7 tiles from the same stomach biopsy slide, 300×300 px each, H&E.
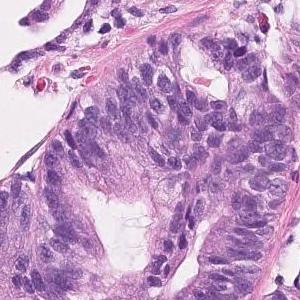
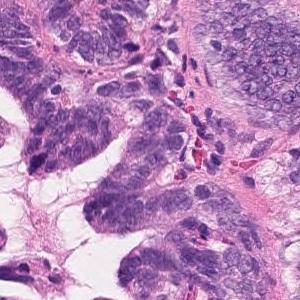
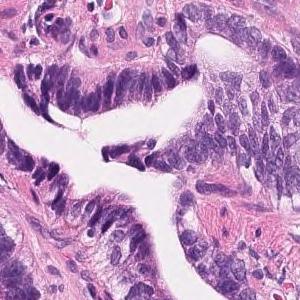
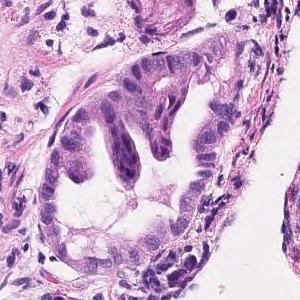
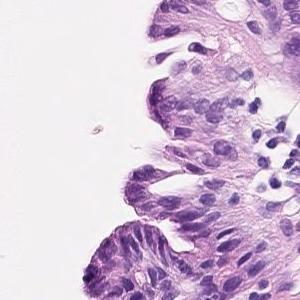
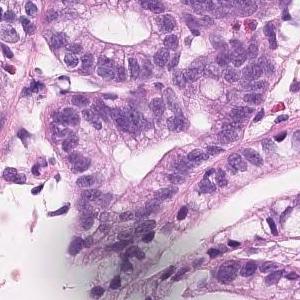
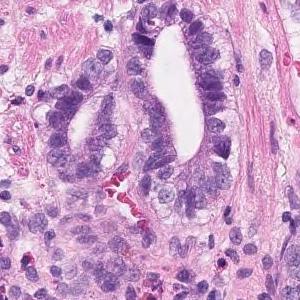
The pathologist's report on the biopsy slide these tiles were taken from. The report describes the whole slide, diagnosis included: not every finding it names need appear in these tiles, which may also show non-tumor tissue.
Tumor cells are large, highly columnar, large club-shaped nuclei, and are associated with chromatin aggregation. Papillary adenocarcinoma.
